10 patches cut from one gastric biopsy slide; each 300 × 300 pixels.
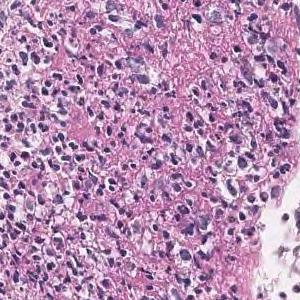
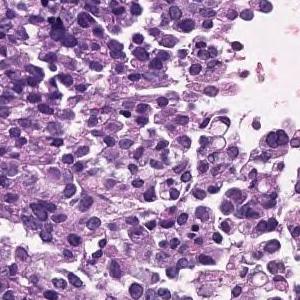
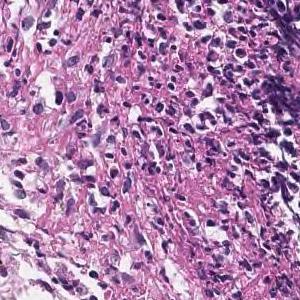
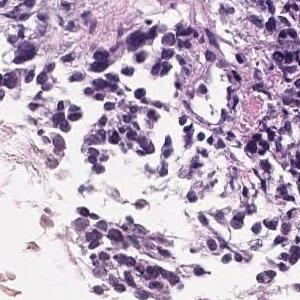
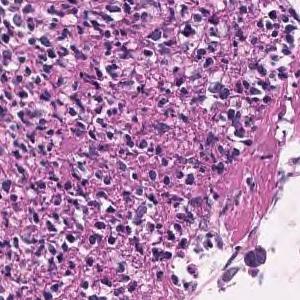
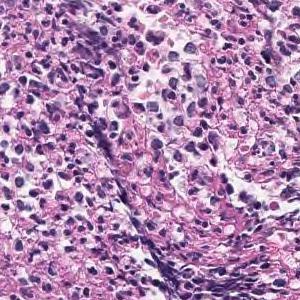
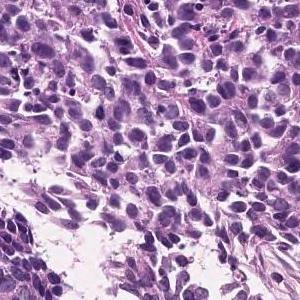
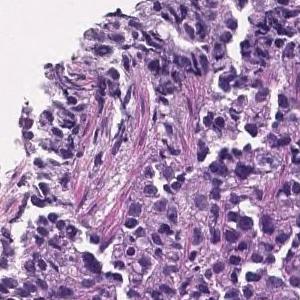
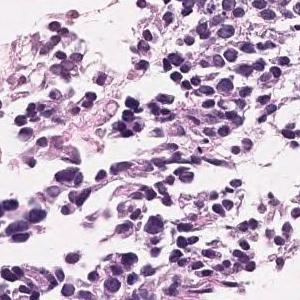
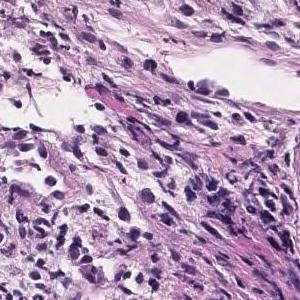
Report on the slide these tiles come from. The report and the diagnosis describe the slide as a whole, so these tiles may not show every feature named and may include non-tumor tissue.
The superficial epithelium shows a large sheet-like shape, and some tumor tissue infiltrates with small irregular ducts. Poorly differentiated adenocarcinoma, solid-type
Histological subtype: Poorly differentiated adenocarcinoma, solid type (Japanese Classification of Gastric Carcinoma). The WHO 2019 equivalent is tubular adenocarcinoma, poorly differentiated.
